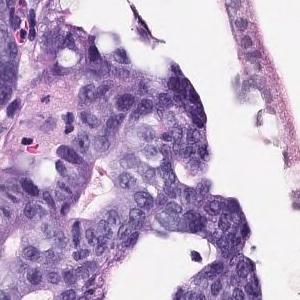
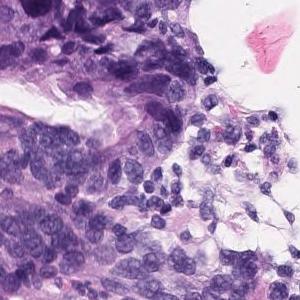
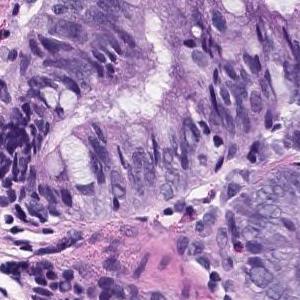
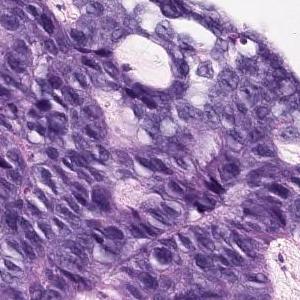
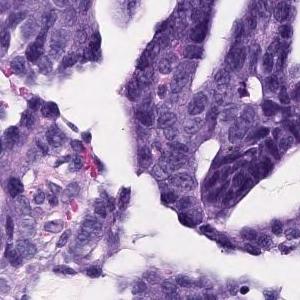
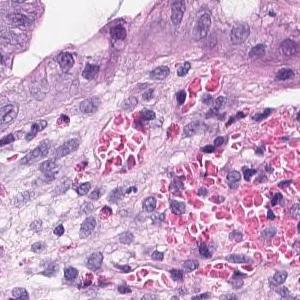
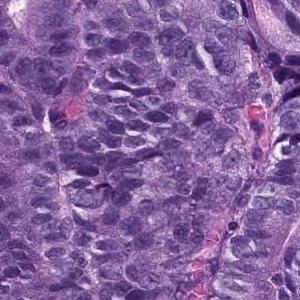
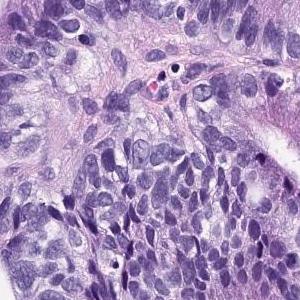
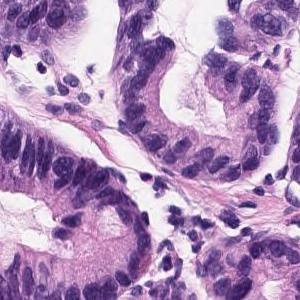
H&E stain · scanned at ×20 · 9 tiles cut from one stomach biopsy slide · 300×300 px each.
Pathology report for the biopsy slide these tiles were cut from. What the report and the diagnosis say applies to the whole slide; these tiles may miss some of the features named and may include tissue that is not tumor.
In the superficial epithelium, tumor tissue that invades by forming medium-sized to small, irregular ducts is observed. Well to moderately differentiated tubular adenocarcinoma.
